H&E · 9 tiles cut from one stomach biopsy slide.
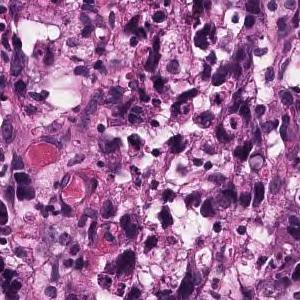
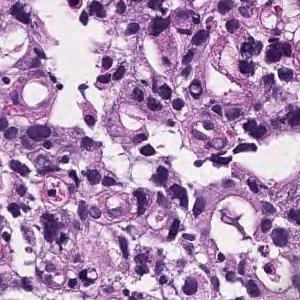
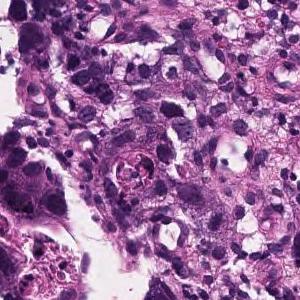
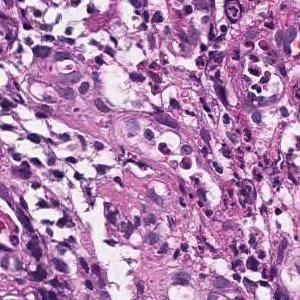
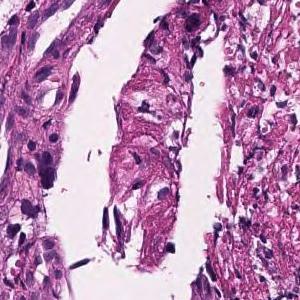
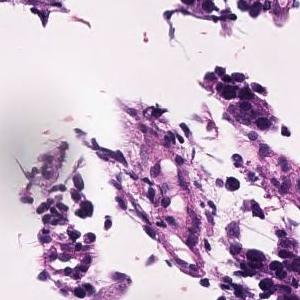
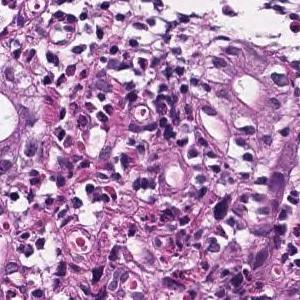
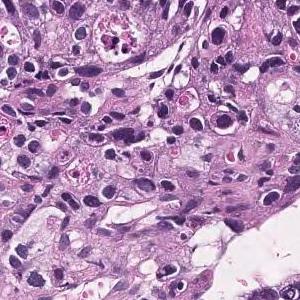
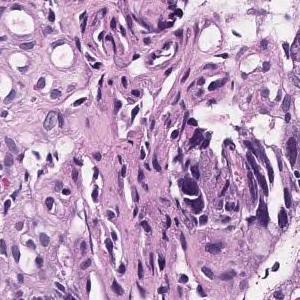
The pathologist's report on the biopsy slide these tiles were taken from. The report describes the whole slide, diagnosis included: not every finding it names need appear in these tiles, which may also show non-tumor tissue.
Tumor tissue consisting of medium-sized, cord-like or irregular glandular infiltration is observed in the superficial epithelium. Poorly differentiated adenocarcinoma, non-solid type or moderately differentiated tubular adenocarcinoma
The term "non-solid type" comes from the Japanese Classification of Gastric Carcinoma.
